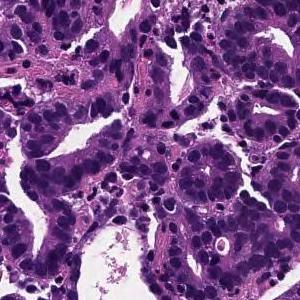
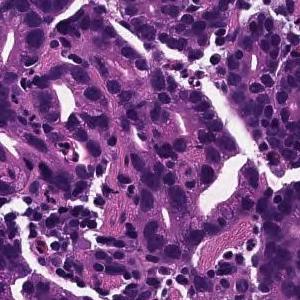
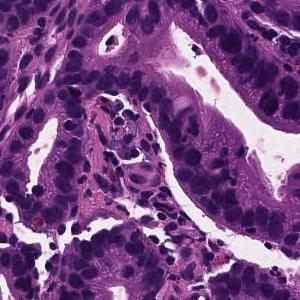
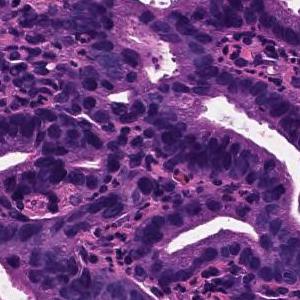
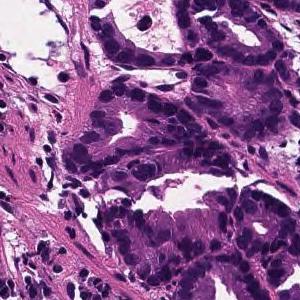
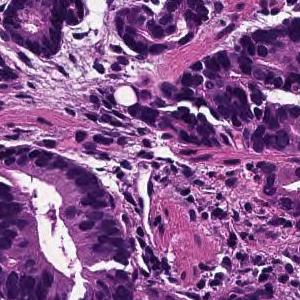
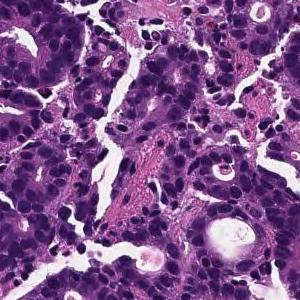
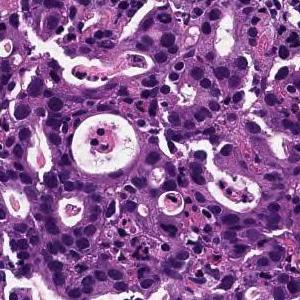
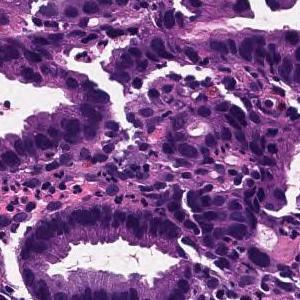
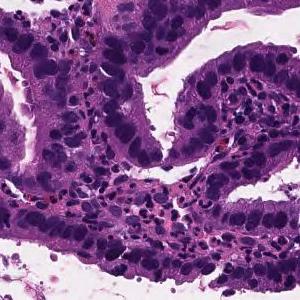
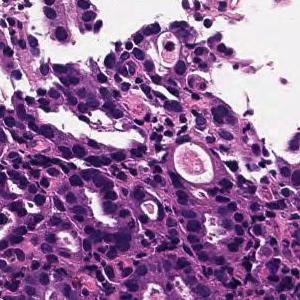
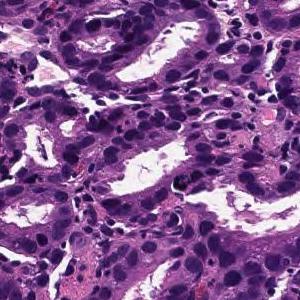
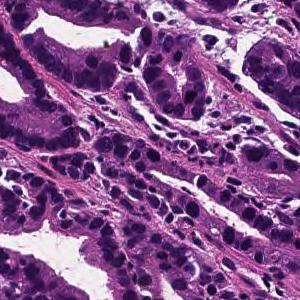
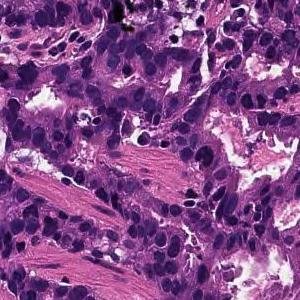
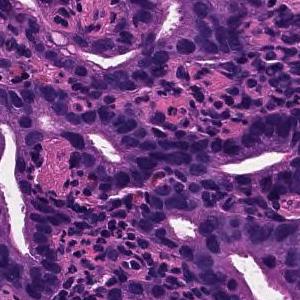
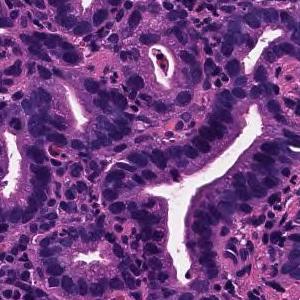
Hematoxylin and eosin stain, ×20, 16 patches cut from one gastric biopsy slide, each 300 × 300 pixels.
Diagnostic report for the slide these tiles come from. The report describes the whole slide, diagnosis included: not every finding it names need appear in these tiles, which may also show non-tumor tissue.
On the superficial epithelium, tumor tissue is found in which medium-sized irregular gland ducts fuse with each other and infiltrate. moderately differentiated tubular adenocarcinoma
